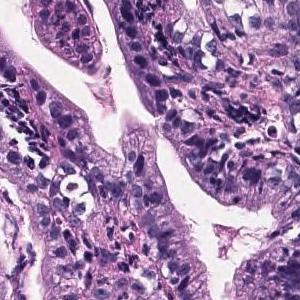
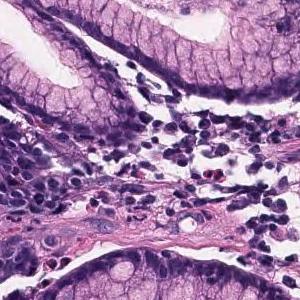
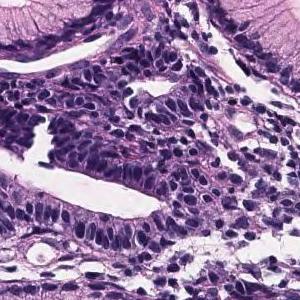
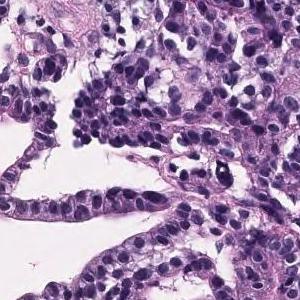
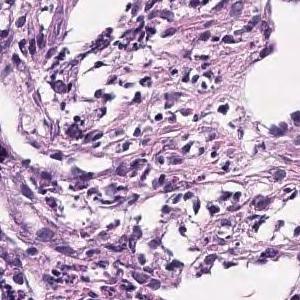
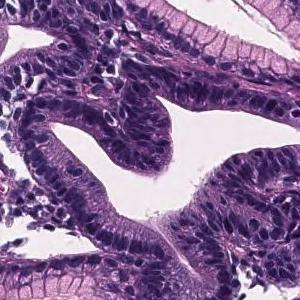
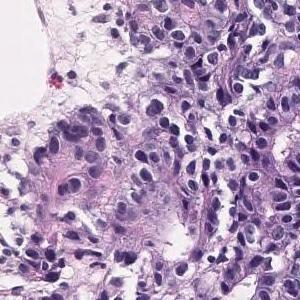
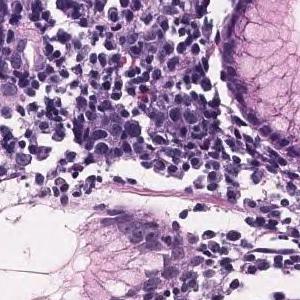
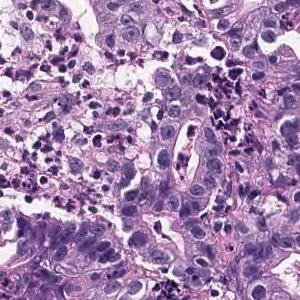
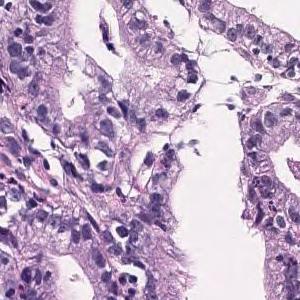
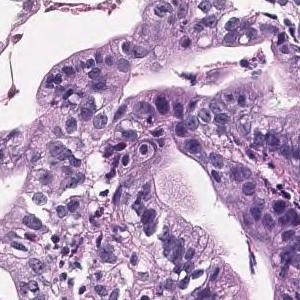
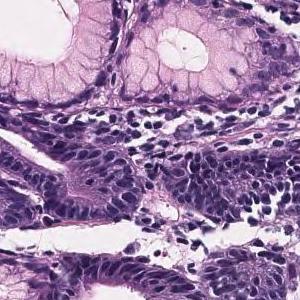
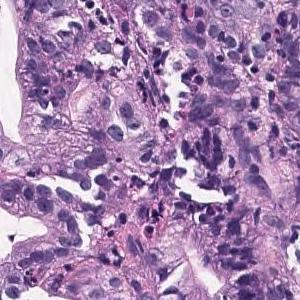
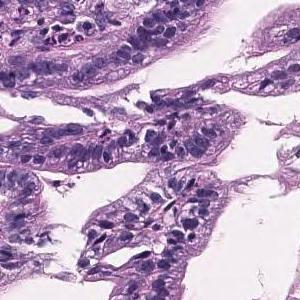
Hematoxylin and eosin stain · 20× magnification · 14 patches cut from one gastric biopsy slide · 300×300 px each.
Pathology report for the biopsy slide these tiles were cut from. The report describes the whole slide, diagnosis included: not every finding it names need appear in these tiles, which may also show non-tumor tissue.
Tumor tissue in which highly columnar atypical epithelial cells with nuclear enlargement and increased nuclear chromatin show papillary to papillary ductal structure and proliferate is observed. Papillary adenocarcinoma.
